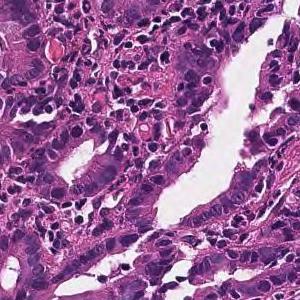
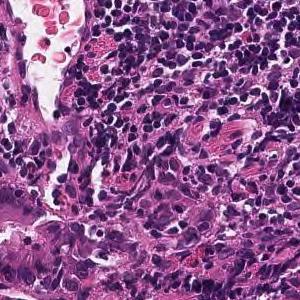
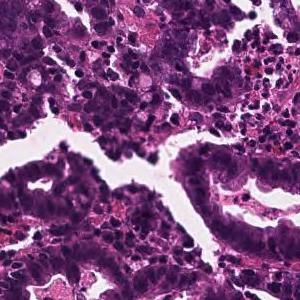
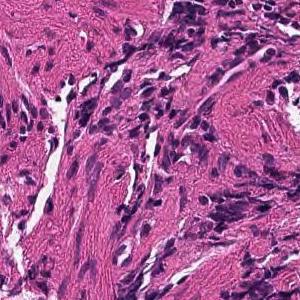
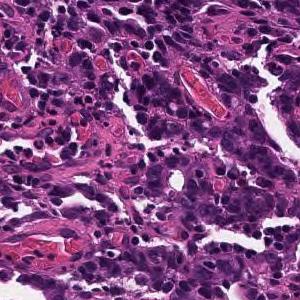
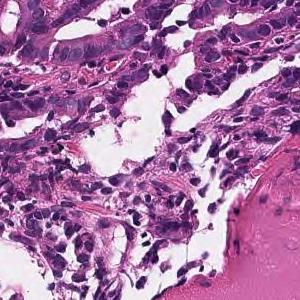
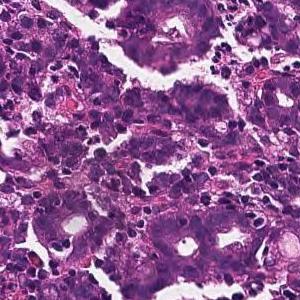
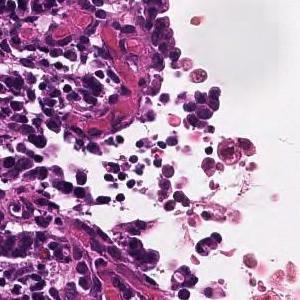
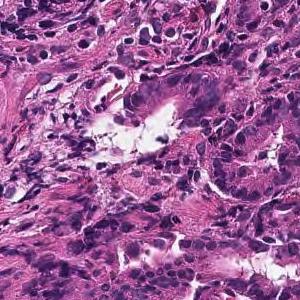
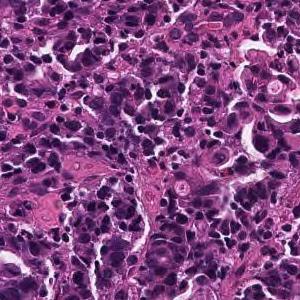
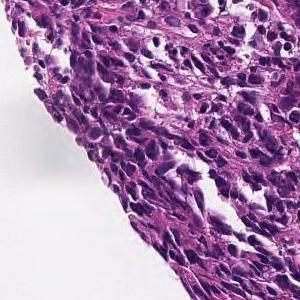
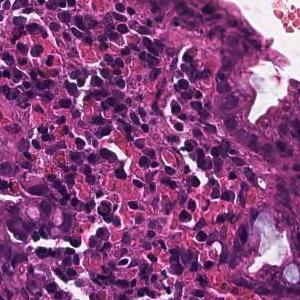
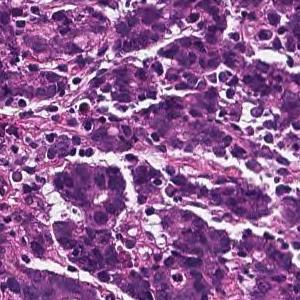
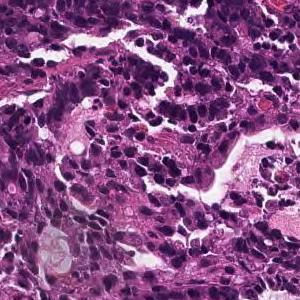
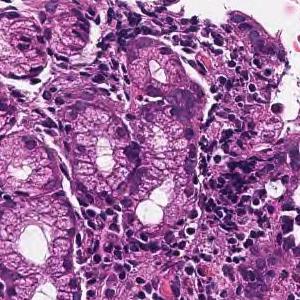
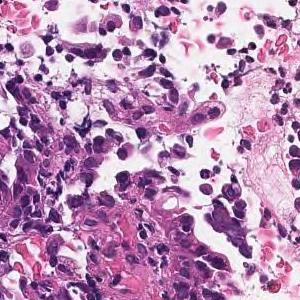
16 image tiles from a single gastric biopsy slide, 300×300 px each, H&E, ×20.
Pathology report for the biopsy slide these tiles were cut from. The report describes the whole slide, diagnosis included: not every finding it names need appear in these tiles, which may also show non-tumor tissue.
In the superficial epithelium, tumor tissue that invades by forming medium-sized to small, irregular ducts is observed. moderately differentiated tubular adenocarcinoma.
